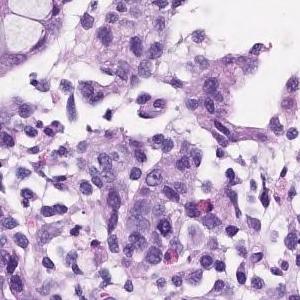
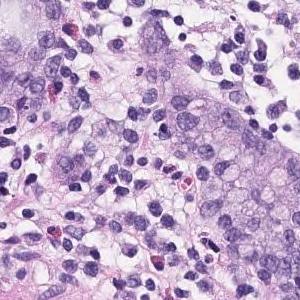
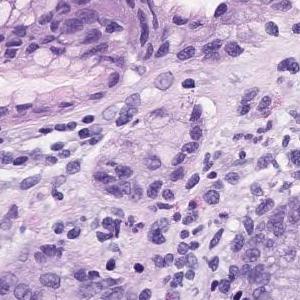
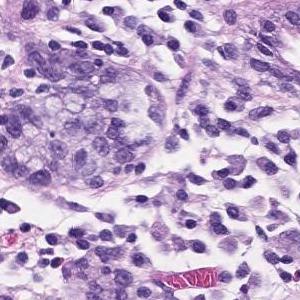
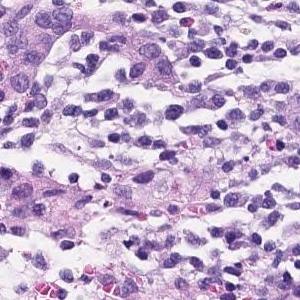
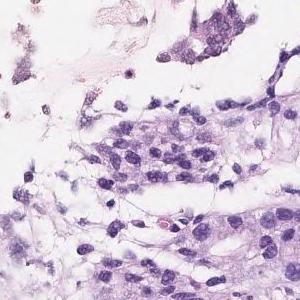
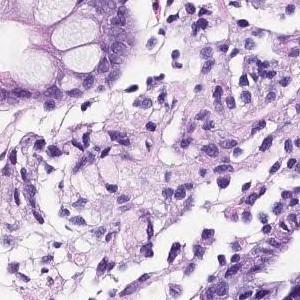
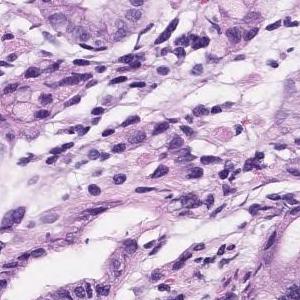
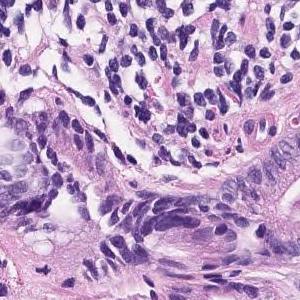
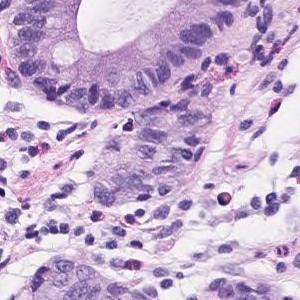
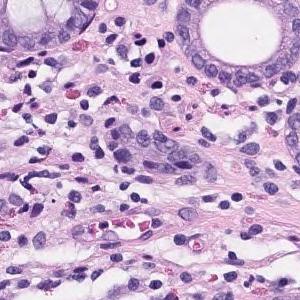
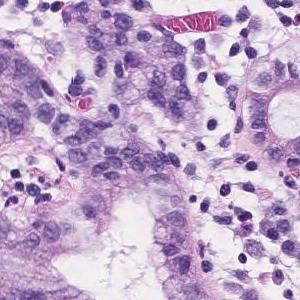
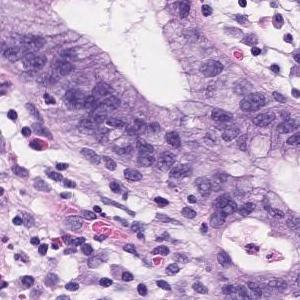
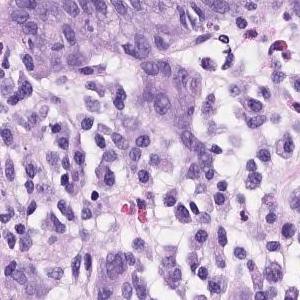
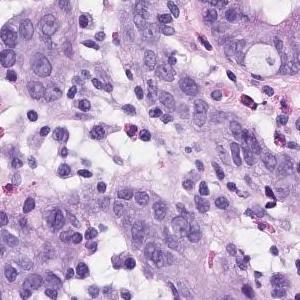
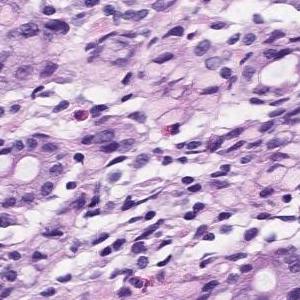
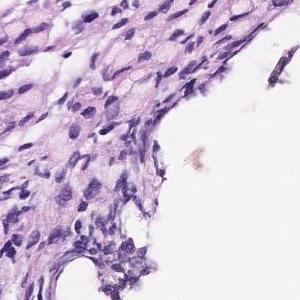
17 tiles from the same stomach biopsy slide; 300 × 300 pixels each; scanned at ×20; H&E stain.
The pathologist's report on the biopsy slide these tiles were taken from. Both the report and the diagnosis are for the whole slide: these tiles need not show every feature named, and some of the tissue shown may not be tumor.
Atypical l cells with atypical nuclei forming diffuse or small irregular atypical ducts and growing. Moderately to poorly differentiated adenocarcinoma (poorly differentiated adenocarcinoma, solid type moderately differentiated tubular adenocarcinoma)
Tumor subtype: moderately to poorly differentiated adenocarcinoma.
"Solid type" is a category of the Japanese Classification of Gastric Carcinoma; in the WHO 2019 classification it is tubular adenocarcinoma, poorly differentiated.
